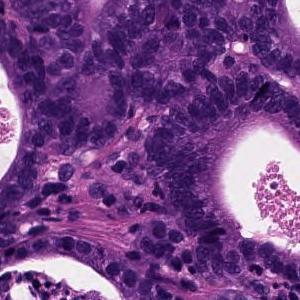
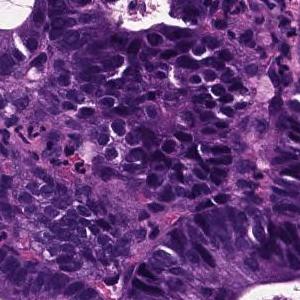
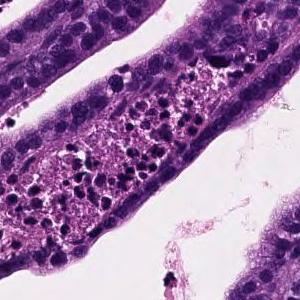
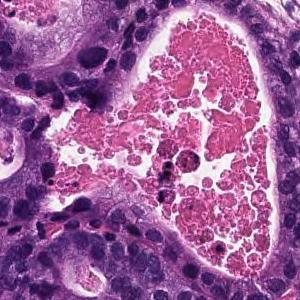
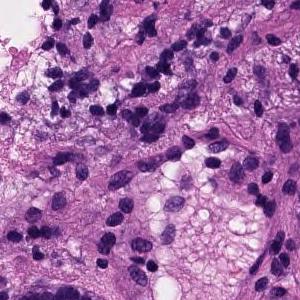
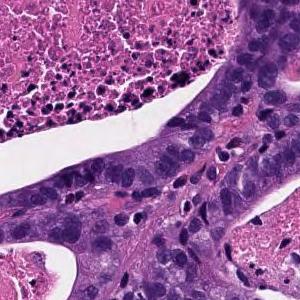
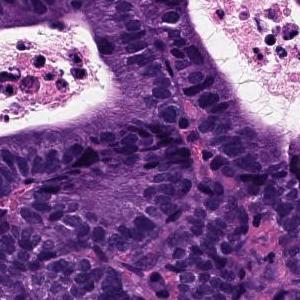
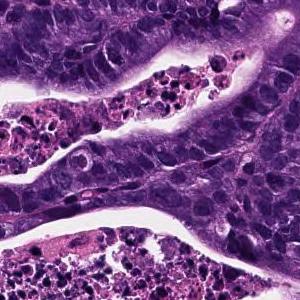
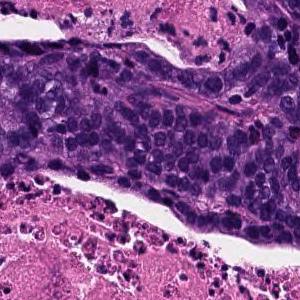
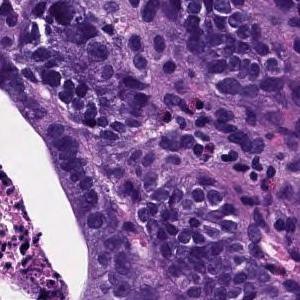
10 tiles cut from one stomach biopsy slide; 20× magnification; H&E stain.
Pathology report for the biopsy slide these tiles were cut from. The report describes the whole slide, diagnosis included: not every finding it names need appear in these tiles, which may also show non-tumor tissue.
From the superficial epithelium to the muscularis mucosae, tumor tissue consisting of medium-sized and irregular glandular ducts infiltrating is observed. Well differentiated tubular adenocarcinoma
